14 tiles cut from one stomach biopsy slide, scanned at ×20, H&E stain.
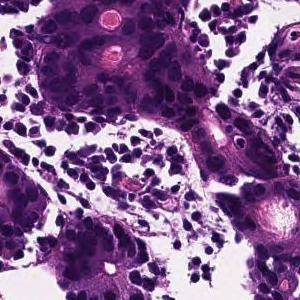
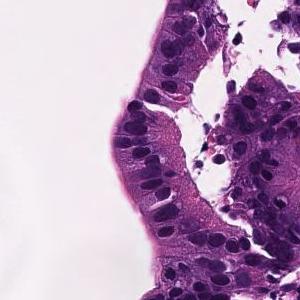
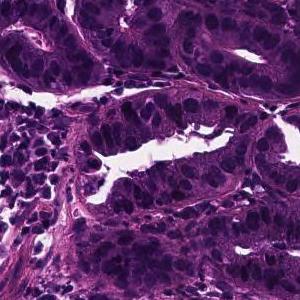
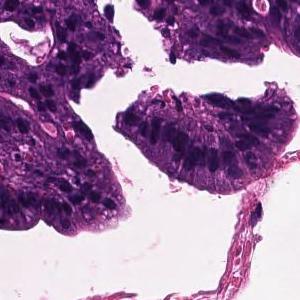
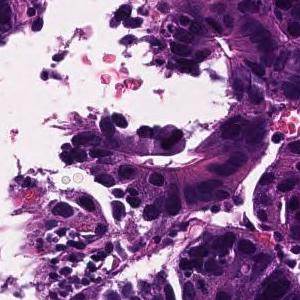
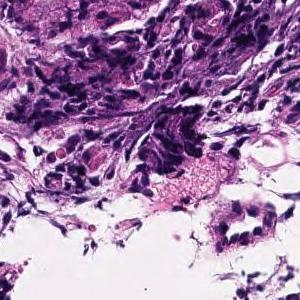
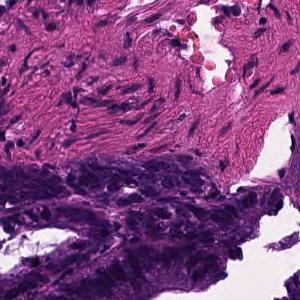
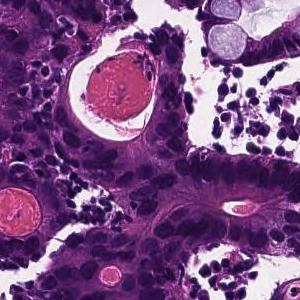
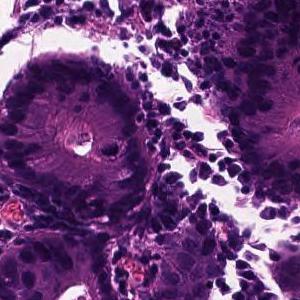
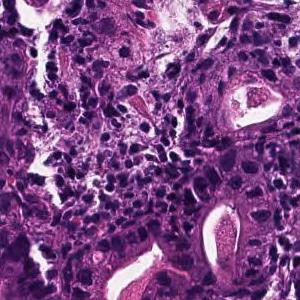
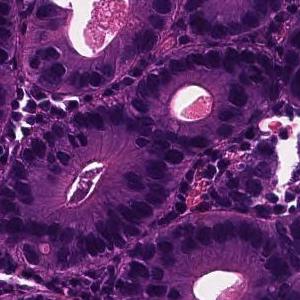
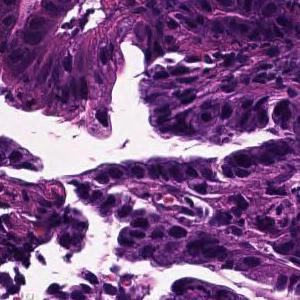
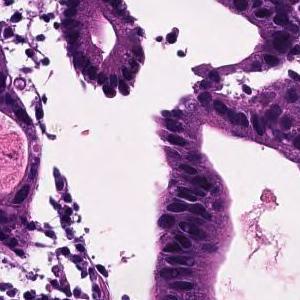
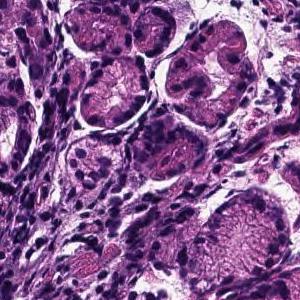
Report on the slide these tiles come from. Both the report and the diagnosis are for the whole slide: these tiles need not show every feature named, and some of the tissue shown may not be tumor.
From the superficial epithelium to the muscularis mucosae, tumor tissue infiltrating by forming medium-sized irregular gland ducts is observed. Large tumor cells exhibit large nucleus and hyperchromatism. Well differentiated tubular adenocarcinoma
